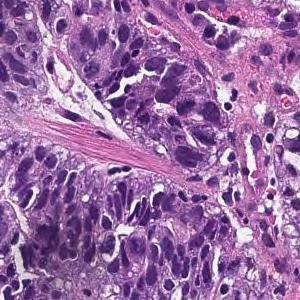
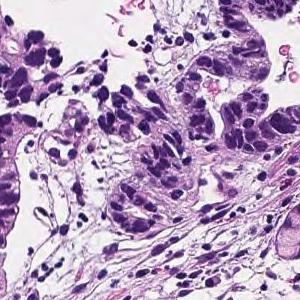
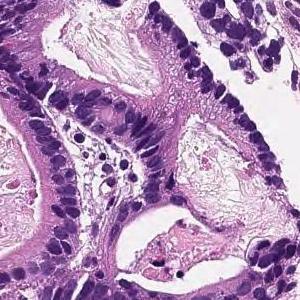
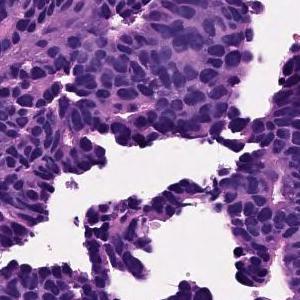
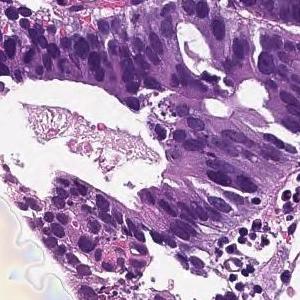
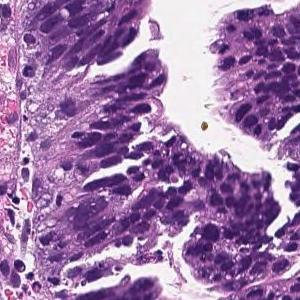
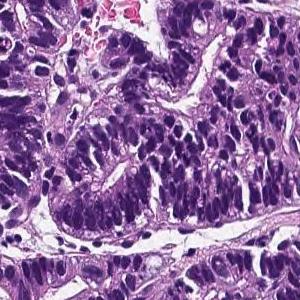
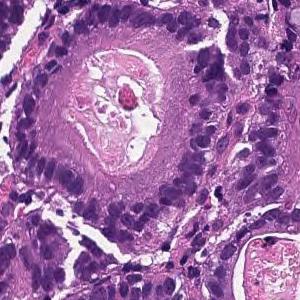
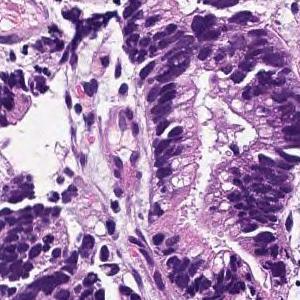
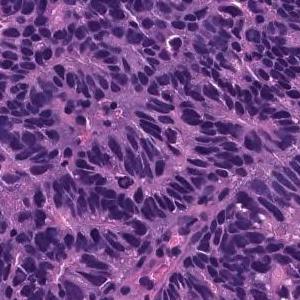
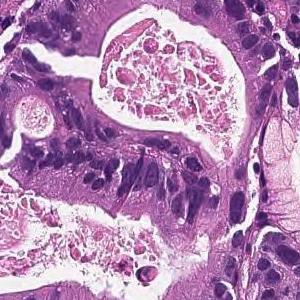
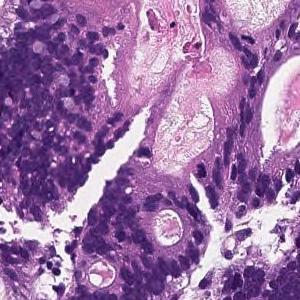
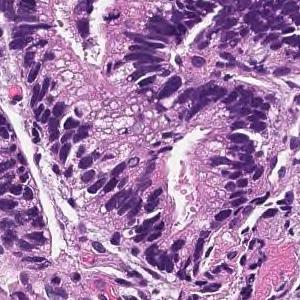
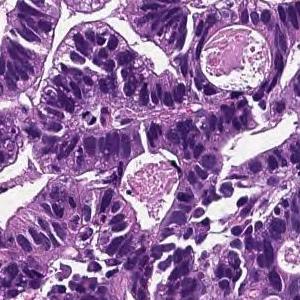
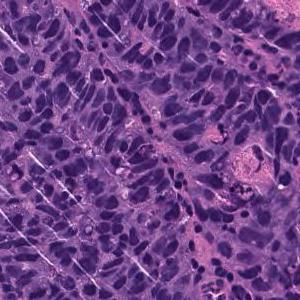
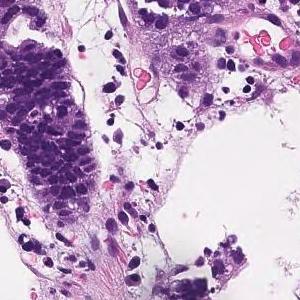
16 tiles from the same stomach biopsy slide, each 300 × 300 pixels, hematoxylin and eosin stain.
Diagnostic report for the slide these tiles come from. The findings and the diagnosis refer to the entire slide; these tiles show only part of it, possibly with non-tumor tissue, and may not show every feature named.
In the superficial epithelium, tumor tissue that invades by forming medium-sized to small, irregular ducts is observed. moderately differentiated tubular adenocarcinoma.
